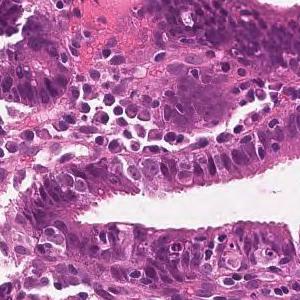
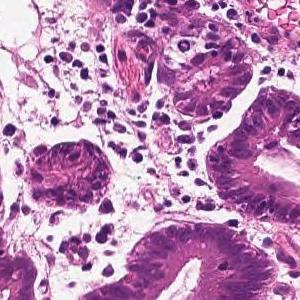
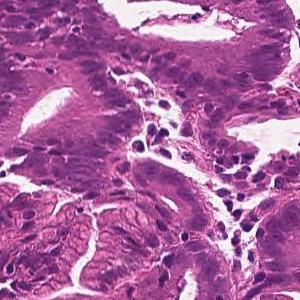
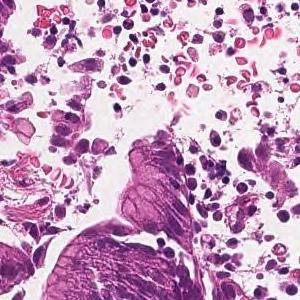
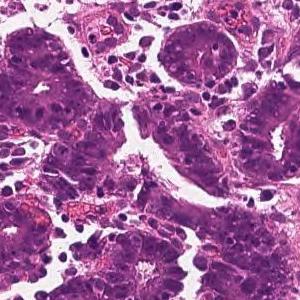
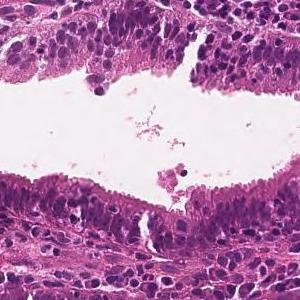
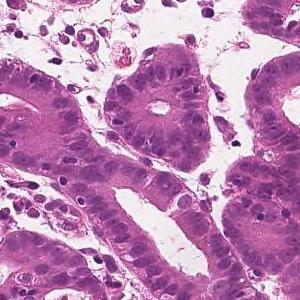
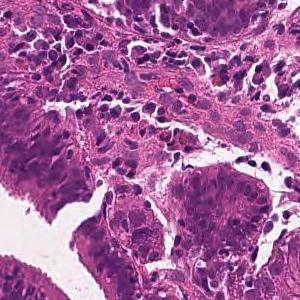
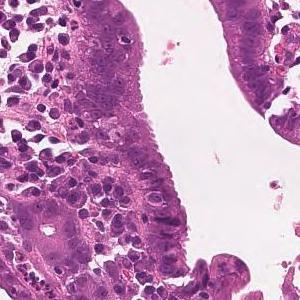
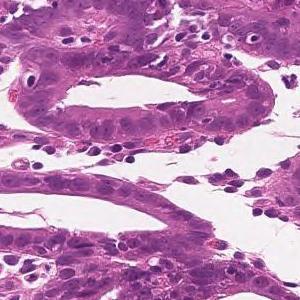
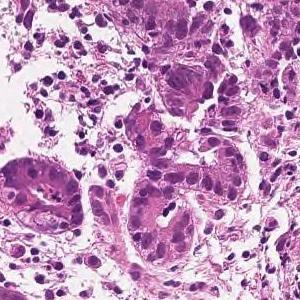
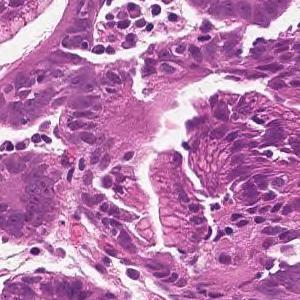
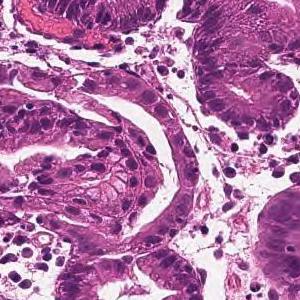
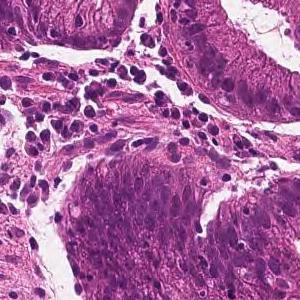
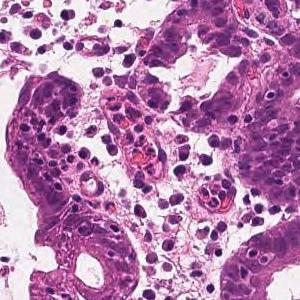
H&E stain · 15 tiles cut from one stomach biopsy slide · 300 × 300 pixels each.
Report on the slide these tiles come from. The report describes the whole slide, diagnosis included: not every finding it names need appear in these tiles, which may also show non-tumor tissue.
On the superficial epithelium, tumor tissue is found in which medium-sized irregular gland ducts fuse with each other and infiltrate. moderately differentiated tubular adenocarcinoma
